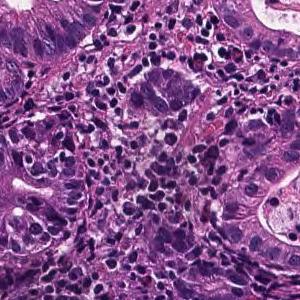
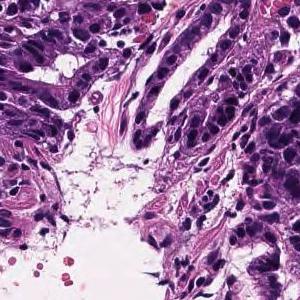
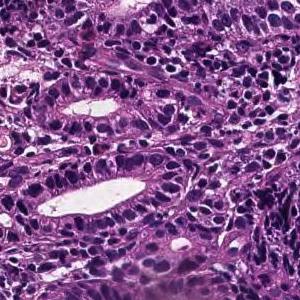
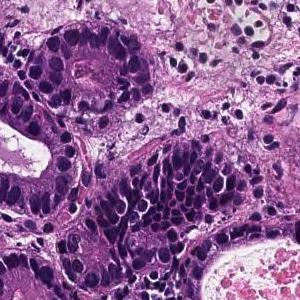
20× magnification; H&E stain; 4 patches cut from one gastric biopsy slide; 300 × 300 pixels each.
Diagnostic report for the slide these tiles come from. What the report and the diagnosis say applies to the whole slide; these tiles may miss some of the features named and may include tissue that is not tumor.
In the superficial epithelium, tumor tissue that invades by forming medium-sized to small, irregular ducts is observed. Well differentiated tubular adenocarcinoma.
